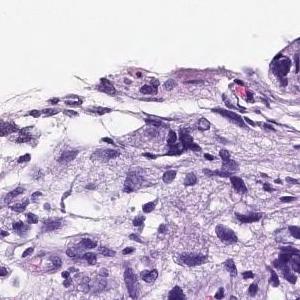
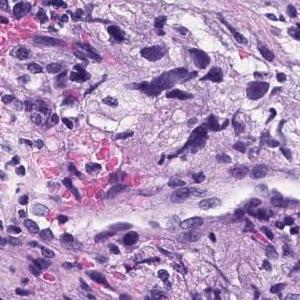
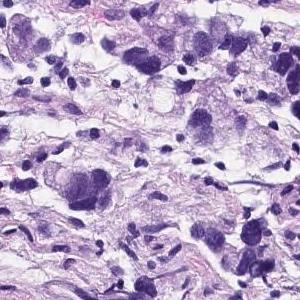
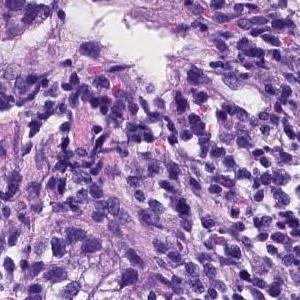
H&E, 20× magnification, 4 patches cut from one gastric biopsy slide, each 300 × 300 pixels.
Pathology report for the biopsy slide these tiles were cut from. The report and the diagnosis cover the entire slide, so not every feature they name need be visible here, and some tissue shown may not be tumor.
Medium to small, irregular glandular ducts are formed in the superficial epithelium, and in some cases, the glandular ducts are fused to show solid alveolar lesions and infiltrating tumor tissue is observed. Poorly differentiated adenocarcinoma, Moderately differentiated adenocarcinoma.
Labeled in the dataset as moderately differentiated tubular adenocarcinoma.
